H&E stain · 20× magnification · 4 tiles cut from one stomach biopsy slide · 300×300 px each.
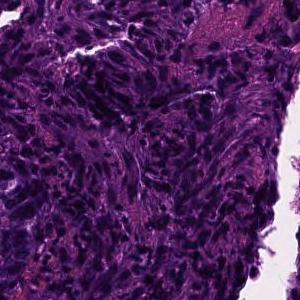
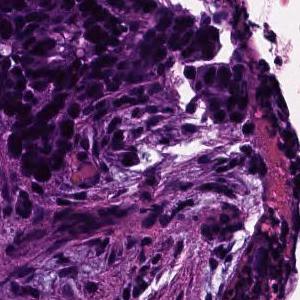
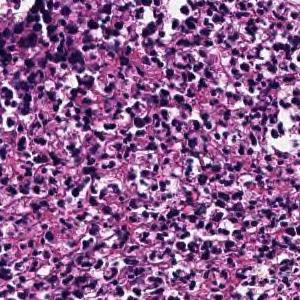
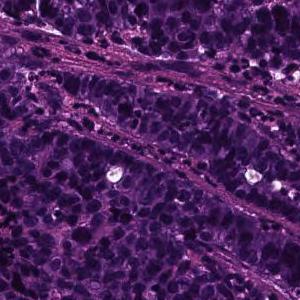
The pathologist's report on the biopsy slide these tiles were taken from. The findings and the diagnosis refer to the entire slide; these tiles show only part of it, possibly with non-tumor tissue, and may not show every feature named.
In the superficial epithelium, tumor tissue that invades by forming medium-sized to small, irregular ducts is observed. moderately differentiated tubular adenocarcinoma.
